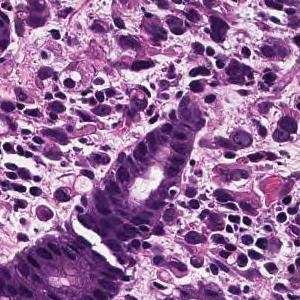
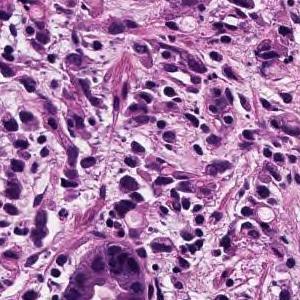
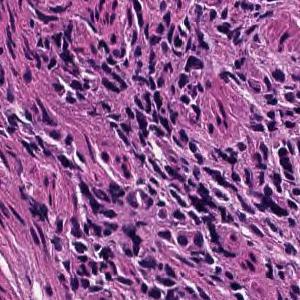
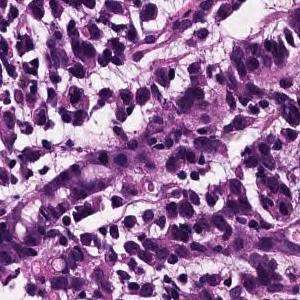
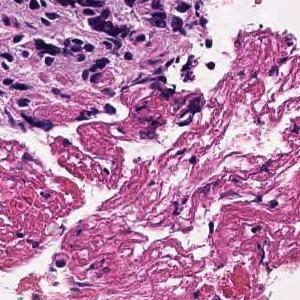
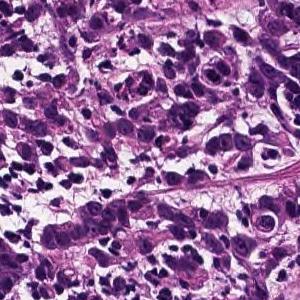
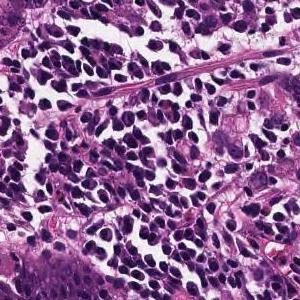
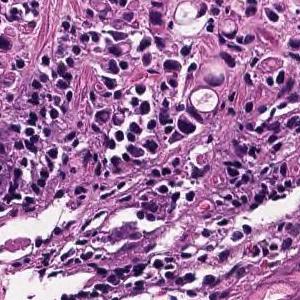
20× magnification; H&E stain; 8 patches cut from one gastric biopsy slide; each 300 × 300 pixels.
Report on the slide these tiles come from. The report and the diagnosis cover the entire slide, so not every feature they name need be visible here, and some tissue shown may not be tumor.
Tumor tissue consisting of cord-like or small, irregular glandular ducts fused and infiltrated is observed in the superficial epithelium. Poorly differentiated adenocarcinoma, non-solid type
The term "non-solid type" comes from the Japanese Classification of Gastric Carcinoma.
